15 patches cut from one gastric biopsy slide · 300 × 300 pixels each · hematoxylin and eosin stain · ×20.
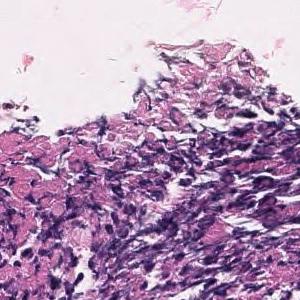
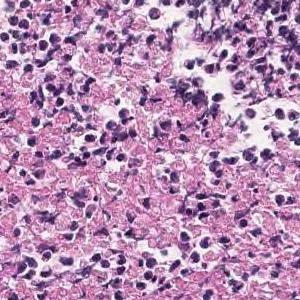
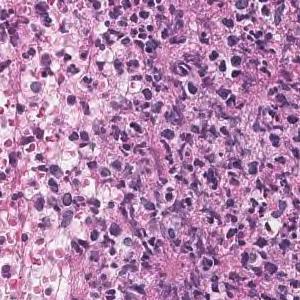
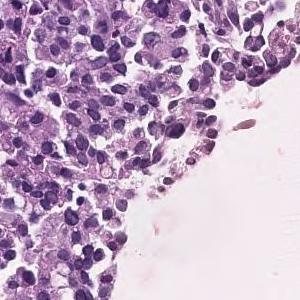
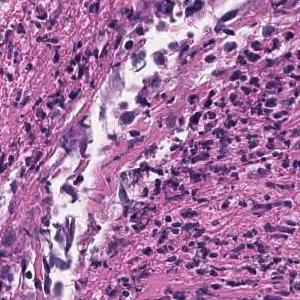
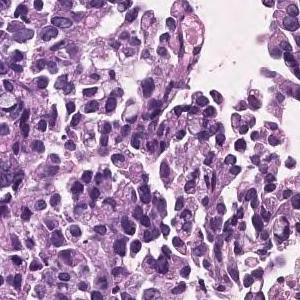
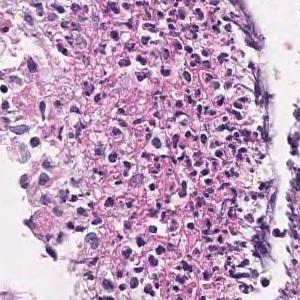
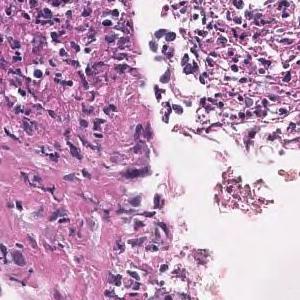
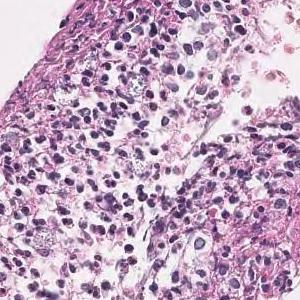
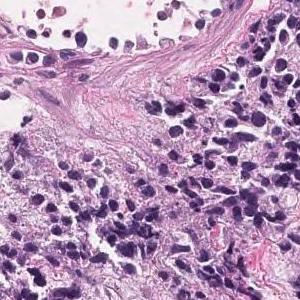
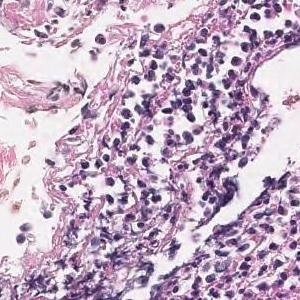
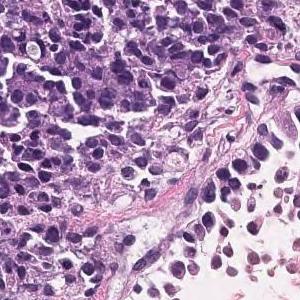
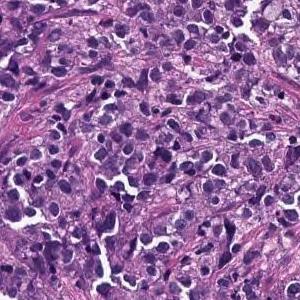
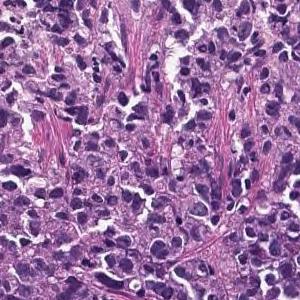
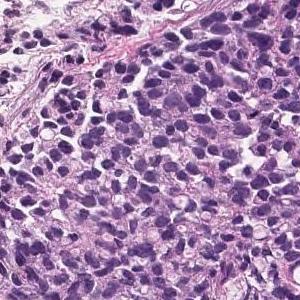
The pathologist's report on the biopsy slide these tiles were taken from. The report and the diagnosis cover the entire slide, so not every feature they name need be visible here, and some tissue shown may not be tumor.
The superficial epithelium shows a large sheet-like shape, and some tumor tissue infiltrates with small irregular ducts. Poorly differentiated adenocarcinoma, solid-type
Histological subtype: Poorly differentiated adenocarcinoma, solid type (Japanese Classification of Gastric Carcinoma). The WHO 2019 equivalent is tubular adenocarcinoma, poorly differentiated.
